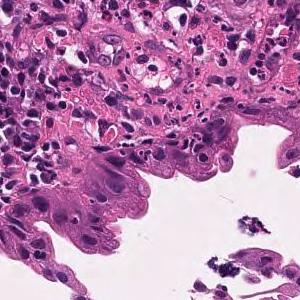
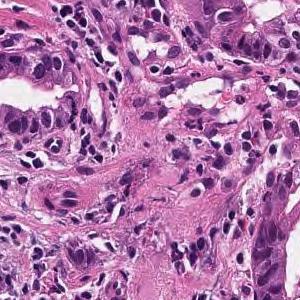
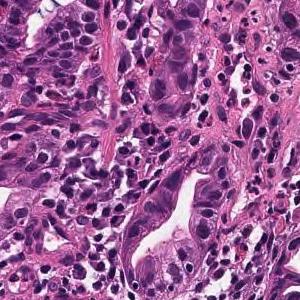
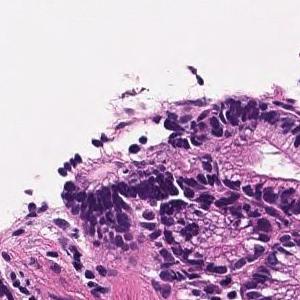
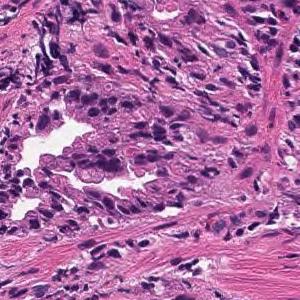
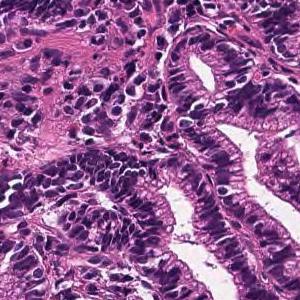
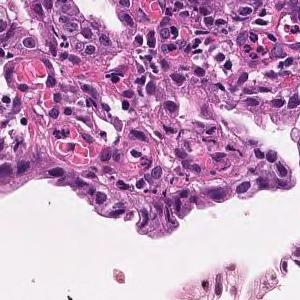
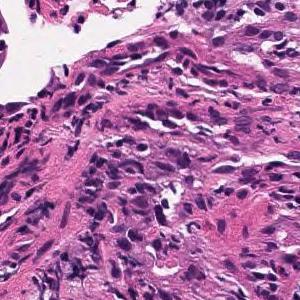
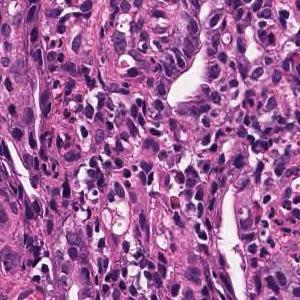
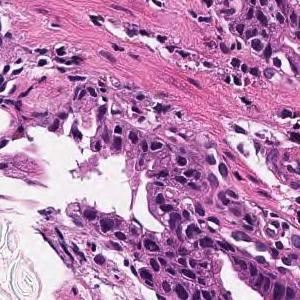
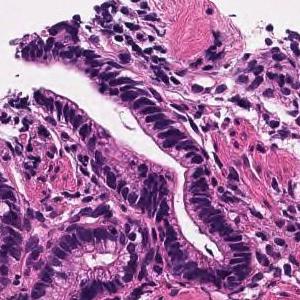
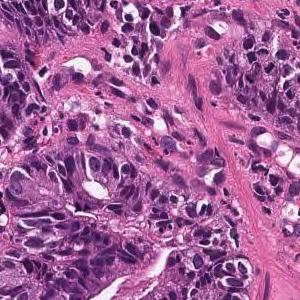
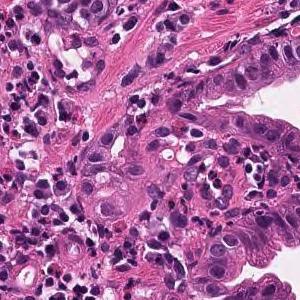
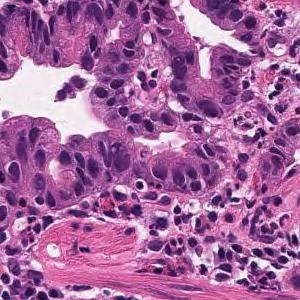
14 tiles from the same stomach biopsy slide.
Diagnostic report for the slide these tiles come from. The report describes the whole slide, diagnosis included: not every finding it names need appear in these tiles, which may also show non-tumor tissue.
Tumor tissue in which medium to small irregular ducts infiltrate and proliferate in the submucosa can be seen in the epithelium. Well differentiated tubular adenocarcinoma
